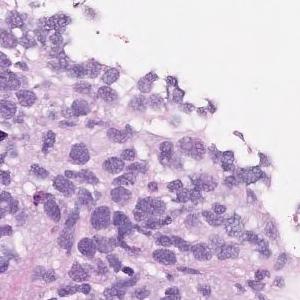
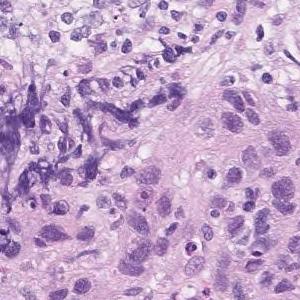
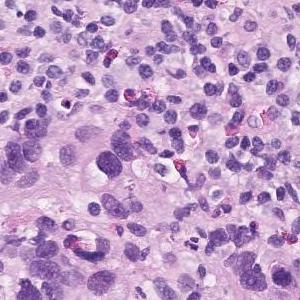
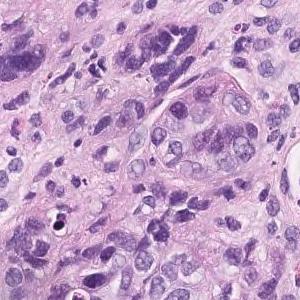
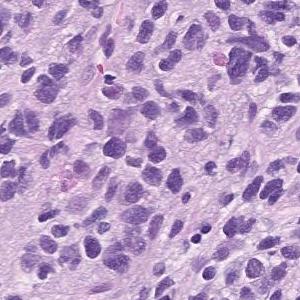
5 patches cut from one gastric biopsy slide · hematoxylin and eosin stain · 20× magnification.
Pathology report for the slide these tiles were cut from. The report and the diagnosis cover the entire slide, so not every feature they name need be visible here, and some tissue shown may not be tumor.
Atypical l cells with atypical nuclei under the mucosa growing in isolation and scattered. Poorly differentiated adenocarcinoma (poorly differentiated adenocarcinoma, non-solid type)
Histologic type: Poorly differentiated adenocarcinoma, non-solid type.
"Non-solid type" is a category of the Japanese Classification of Gastric Carcinoma.
